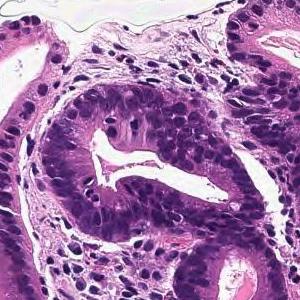
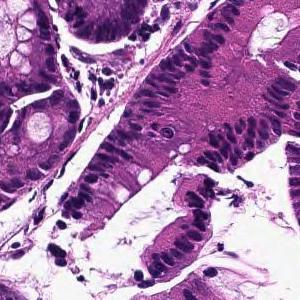
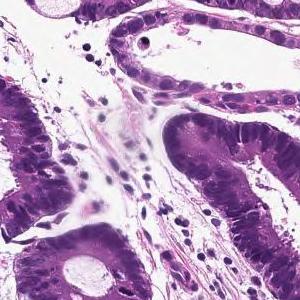
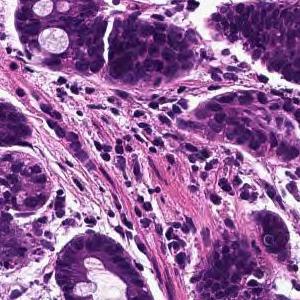
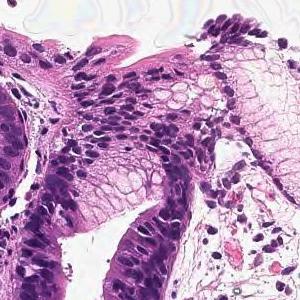
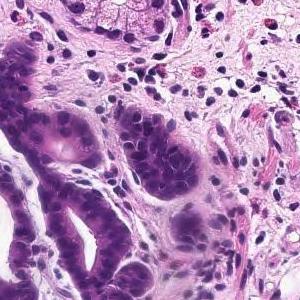
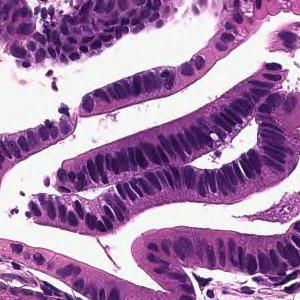
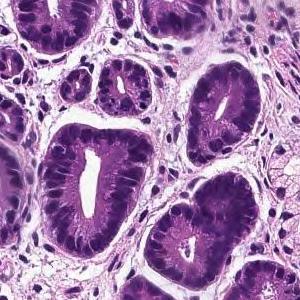
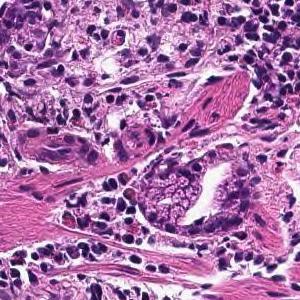
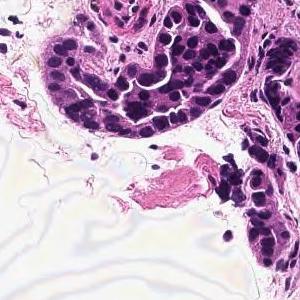
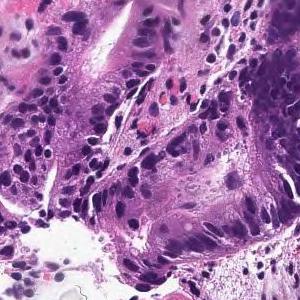
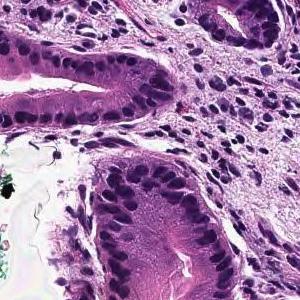
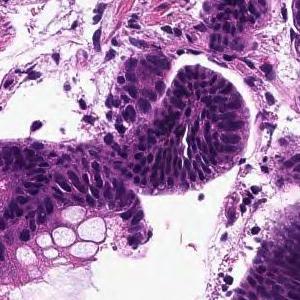
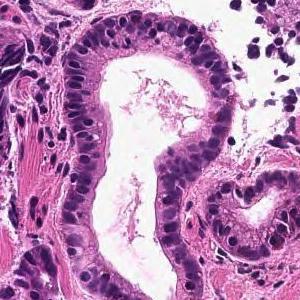
×20; H&E stain; 14 tiles cut from one stomach biopsy slide.
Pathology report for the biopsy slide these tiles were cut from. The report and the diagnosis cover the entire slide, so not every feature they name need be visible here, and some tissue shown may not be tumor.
From the superficial epithelium to the muscularis mucosae, tumor tissue consisting of medium-sized and irregular glandular ducts infiltrating is observed. Well differentiated tubular adenocarcinoma
